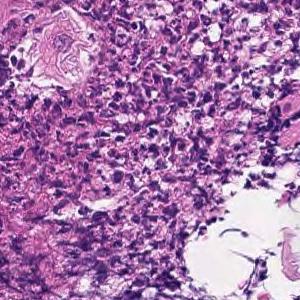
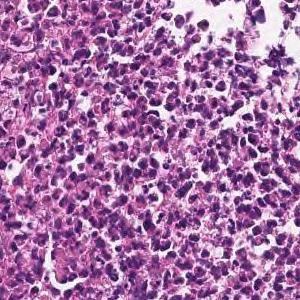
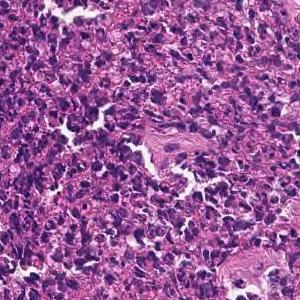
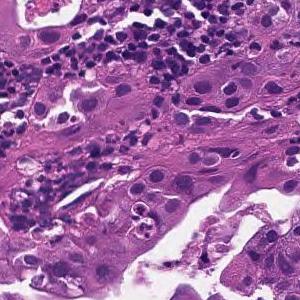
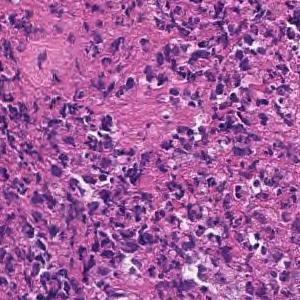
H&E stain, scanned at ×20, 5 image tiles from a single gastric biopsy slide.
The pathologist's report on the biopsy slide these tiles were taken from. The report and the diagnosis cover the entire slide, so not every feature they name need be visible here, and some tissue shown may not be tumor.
In the superficial epithelium, tumor tissue infiltrated by partial fusion of medium-sized to small, irregular glandular ducts is observed. moderately differentiated tubular adenocarcinoma
